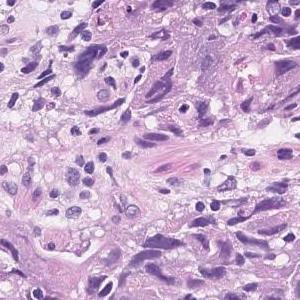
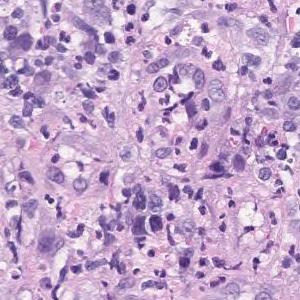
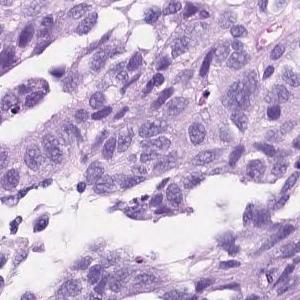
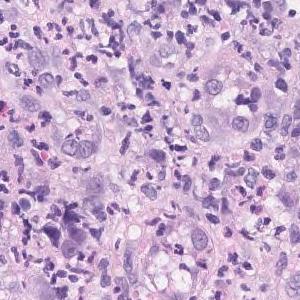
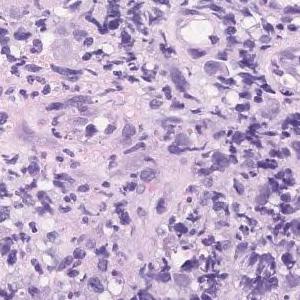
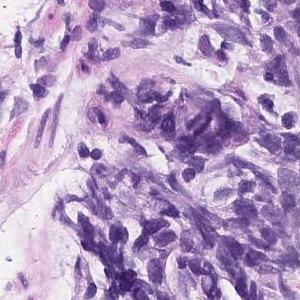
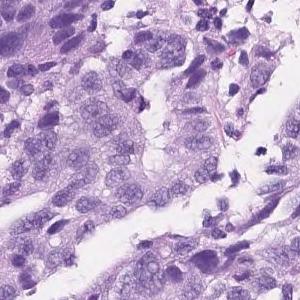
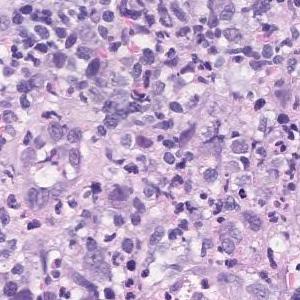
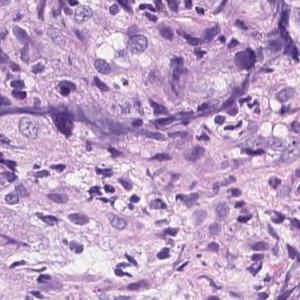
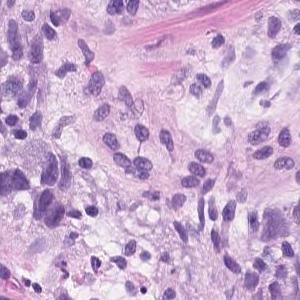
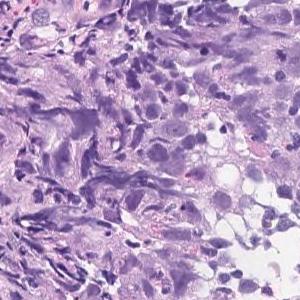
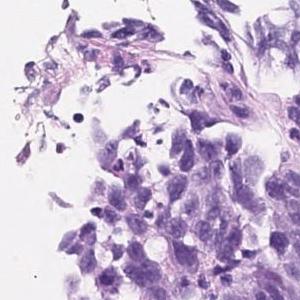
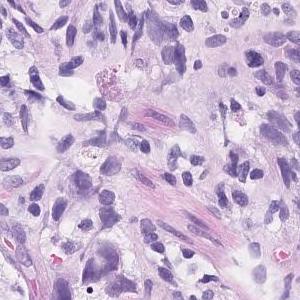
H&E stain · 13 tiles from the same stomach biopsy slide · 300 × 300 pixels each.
The pathologist's report on the biopsy slide these tiles were taken from. The report and the diagnosis describe the slide as a whole, so these tiles may not show every feature named and may include non-tumor tissue.
Atypical epithelial cells infiltrating and proliferating diffusely or while forming vesicles is observed. Poorly differentiated adenocarcinoma (poorly differentiated adenocarcinoma, solid type moderately differentiated tubular adenocarcinoma)
Dataset label: poorly differentiated adenocarcinoma, solid type. This name comes from the Japanese Classification of Gastric Carcinoma; the WHO 2019 classification calls it tubular adenocarcinoma, poorly differentiated.
